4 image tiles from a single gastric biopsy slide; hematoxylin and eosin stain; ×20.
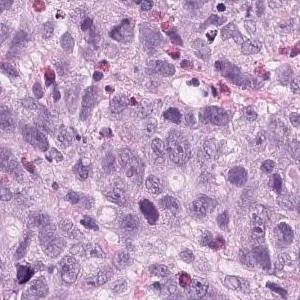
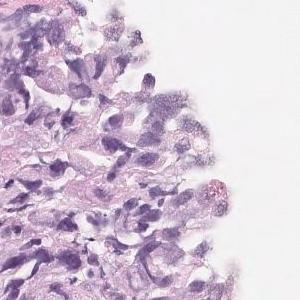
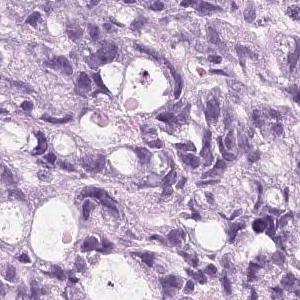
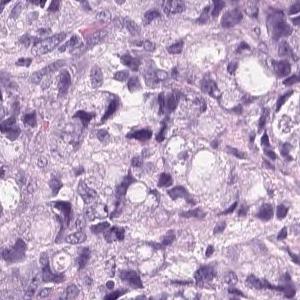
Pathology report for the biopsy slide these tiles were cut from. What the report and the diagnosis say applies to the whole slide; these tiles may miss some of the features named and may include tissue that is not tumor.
Tumor tissue that infiltrates and proliferates by forming small glandular cavities in the superficial layer to the submucosa or forming a mass is observed. moderately differentiated tubular adenocarcinoma
